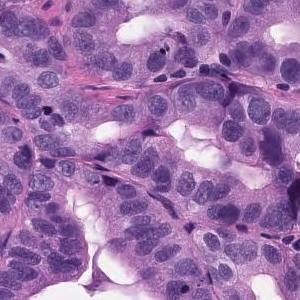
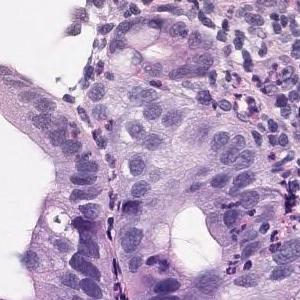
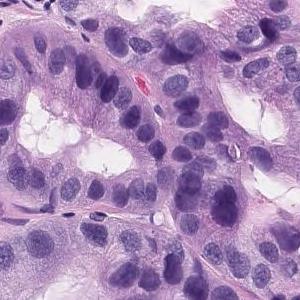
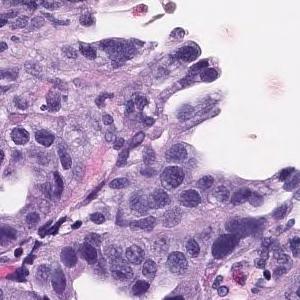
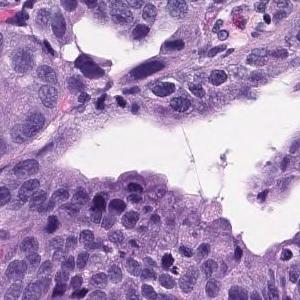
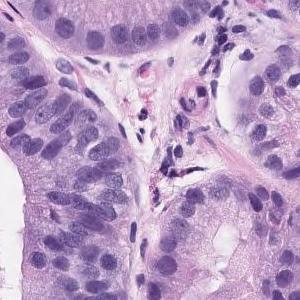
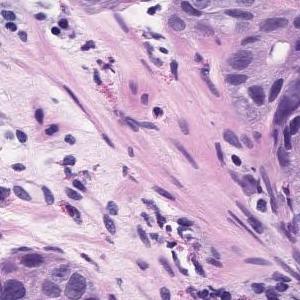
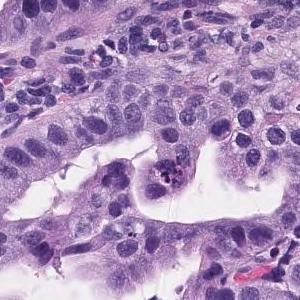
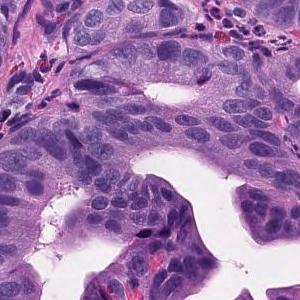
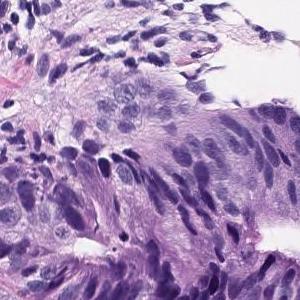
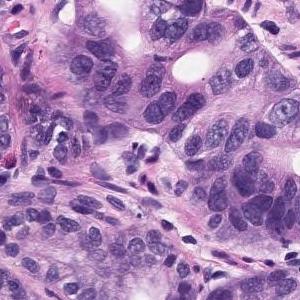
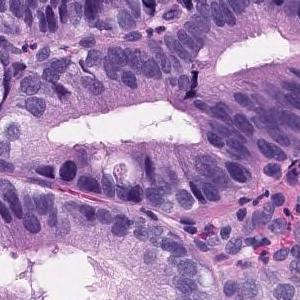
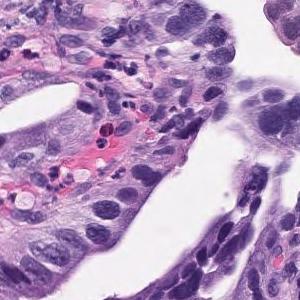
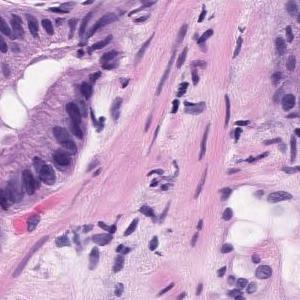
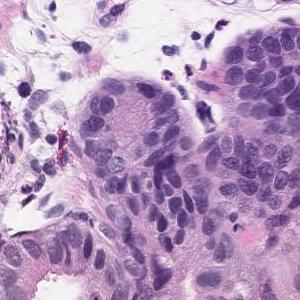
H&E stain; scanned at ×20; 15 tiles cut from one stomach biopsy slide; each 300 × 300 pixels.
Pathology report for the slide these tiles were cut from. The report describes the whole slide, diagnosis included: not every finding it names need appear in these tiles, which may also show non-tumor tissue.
Tumor tissue consisting of medium-sized and irregular ducts is observed infiltrating in the superficial epithelium. Tumor cells are highly columnar, with nuclei aligned basolaterally and polarized. Well differentiated tubular adenocarcinoma.
